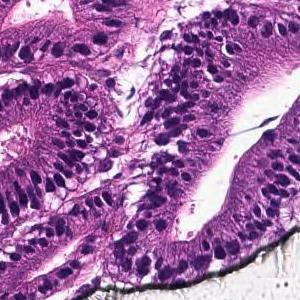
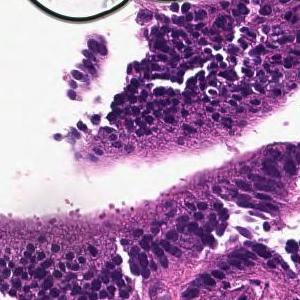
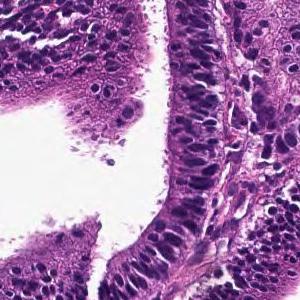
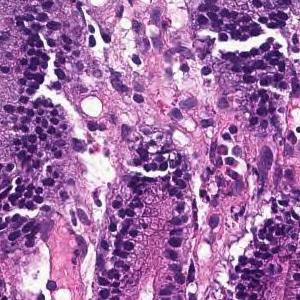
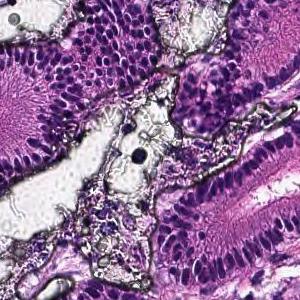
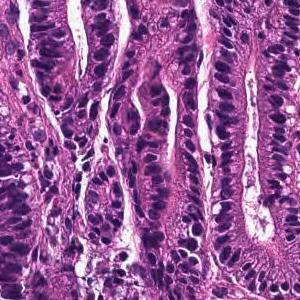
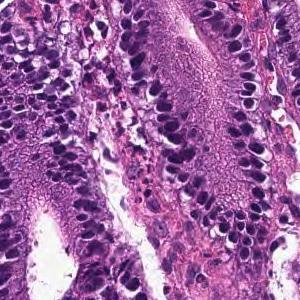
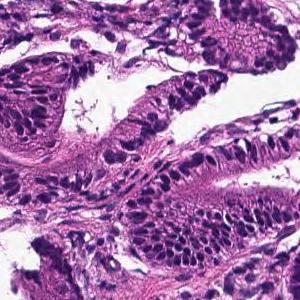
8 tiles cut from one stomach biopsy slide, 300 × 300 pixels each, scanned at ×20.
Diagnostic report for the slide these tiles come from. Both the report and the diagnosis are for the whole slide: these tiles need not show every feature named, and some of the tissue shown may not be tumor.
On the superficial epithelium, tumor tissue that infiltrates by forming medium-sized round or small irregular ducts is observed. Papillary adenocarcinoma
